13 image tiles from a single gastric biopsy slide · 300×300 px each · ×20.
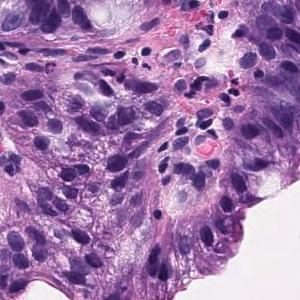
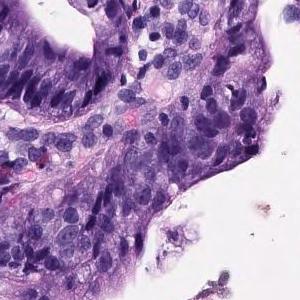
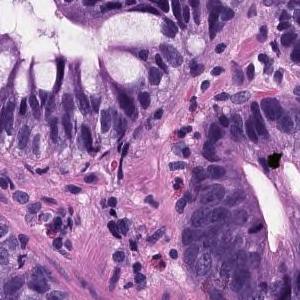
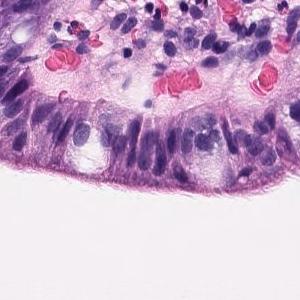
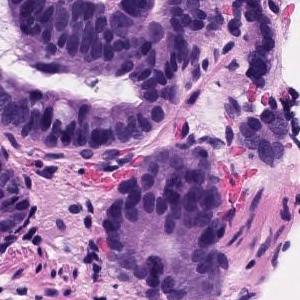
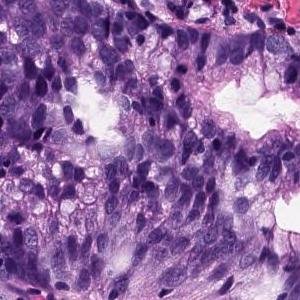
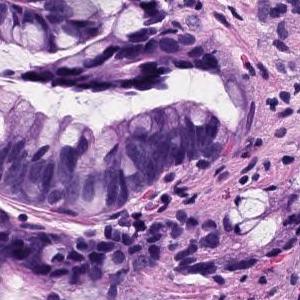
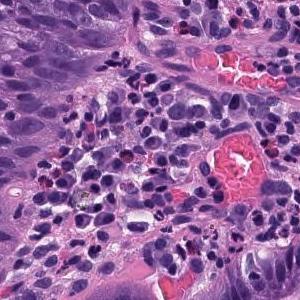
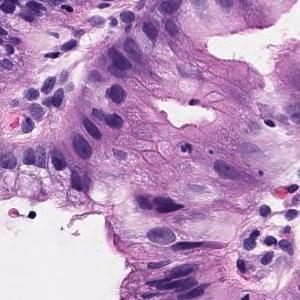
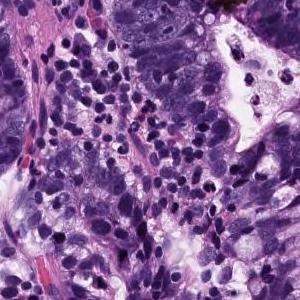
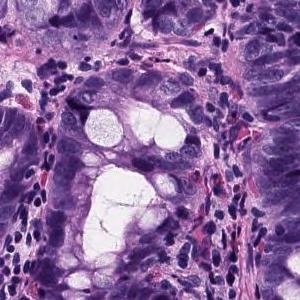
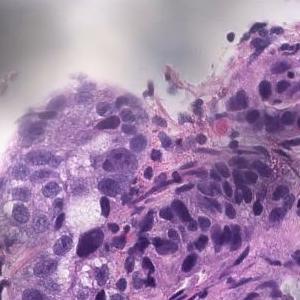
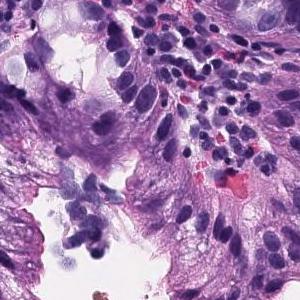
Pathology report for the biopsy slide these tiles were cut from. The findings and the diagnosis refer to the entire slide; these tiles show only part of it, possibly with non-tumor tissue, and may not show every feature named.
Tumor cells with strong nuclear atypia proliferate invasively, forming small to medium-sized irregular shaped ducts. moderately differentiated tubular adenocarcinoma
